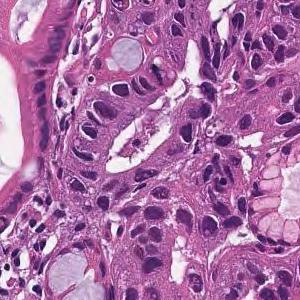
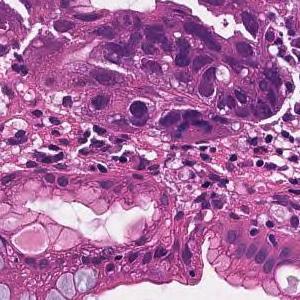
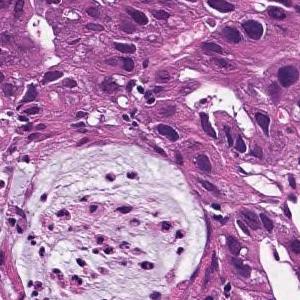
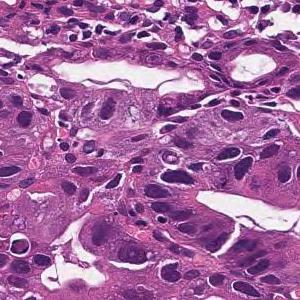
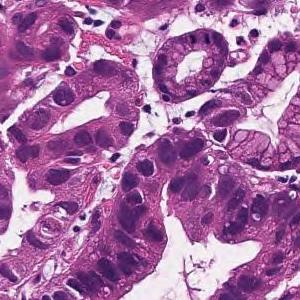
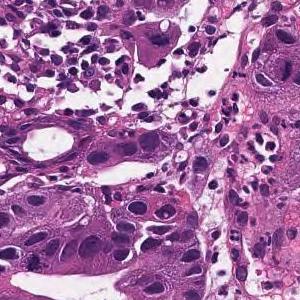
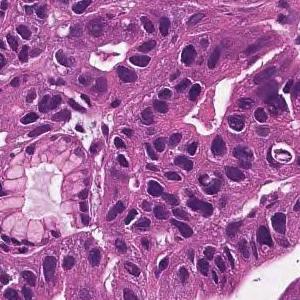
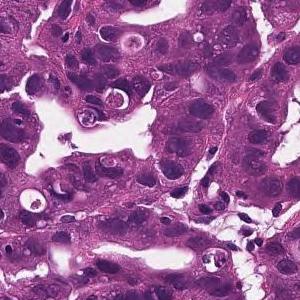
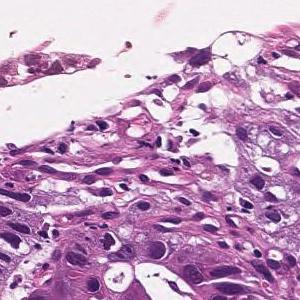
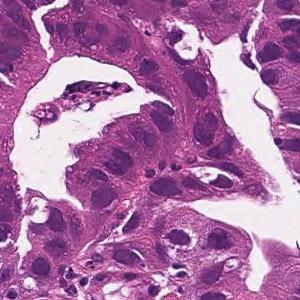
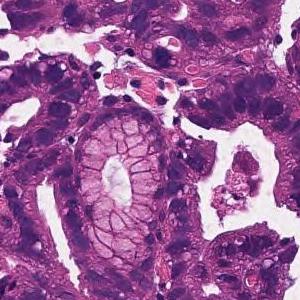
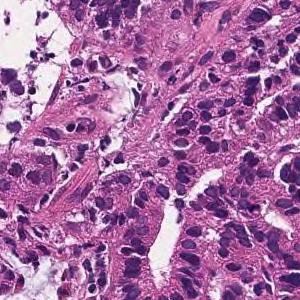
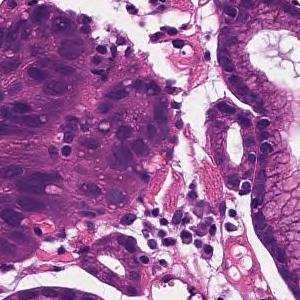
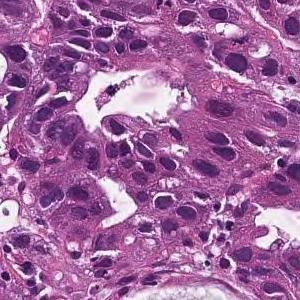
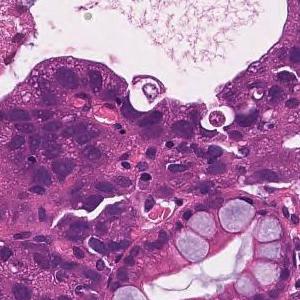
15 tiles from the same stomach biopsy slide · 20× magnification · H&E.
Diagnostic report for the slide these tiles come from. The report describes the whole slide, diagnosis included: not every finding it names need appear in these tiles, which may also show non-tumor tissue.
In the superficial epithelium, tumor tissue that invades by forming medium-sized to small, irregular ducts is observed. moderately differentiated tubular adenocarcinoma.
